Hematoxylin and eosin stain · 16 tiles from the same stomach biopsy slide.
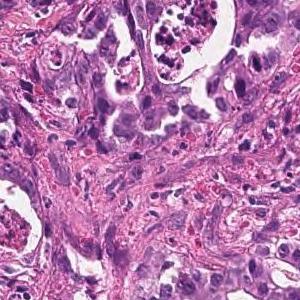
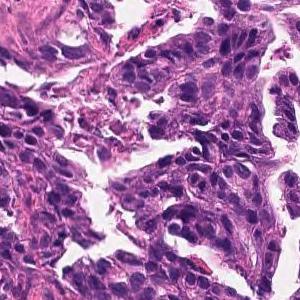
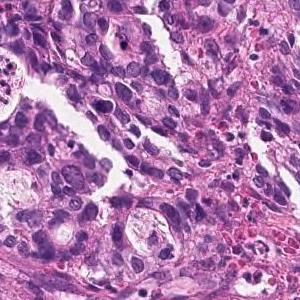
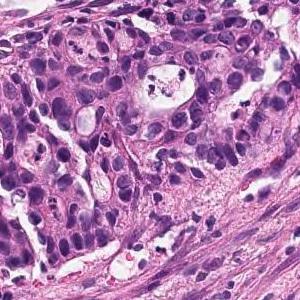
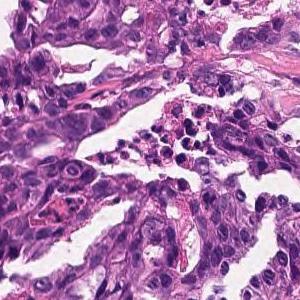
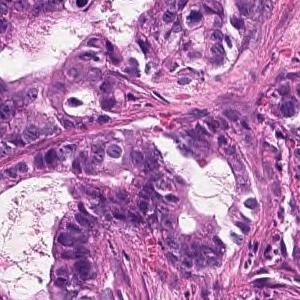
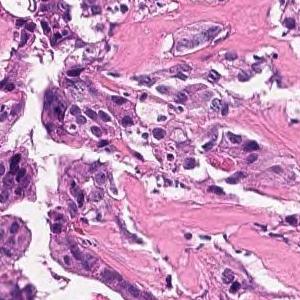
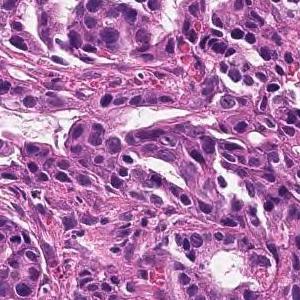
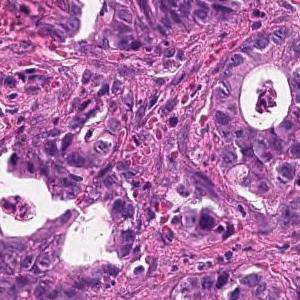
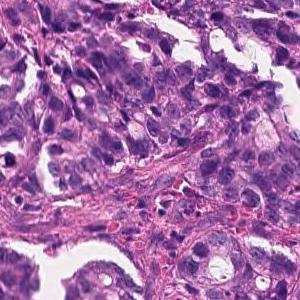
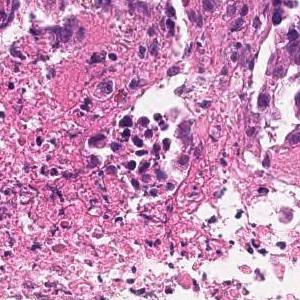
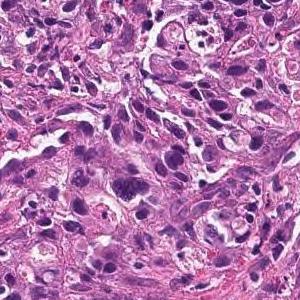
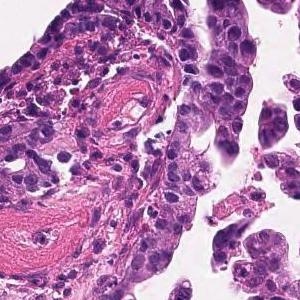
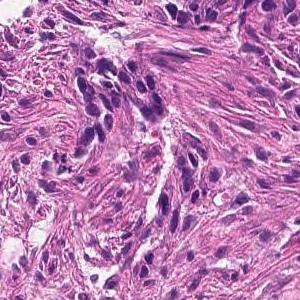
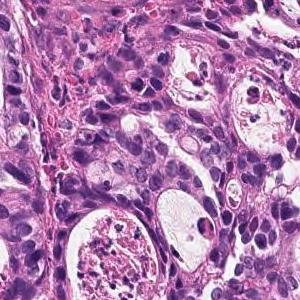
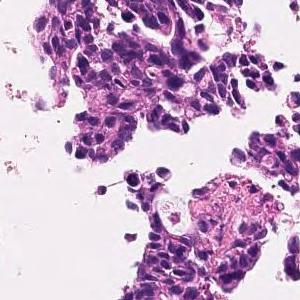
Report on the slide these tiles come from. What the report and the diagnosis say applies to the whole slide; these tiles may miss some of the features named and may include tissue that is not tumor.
On the superficial epithelium, tumor tissue consisting of images of small to medium-sized and irregular tubules infiltrating with irregular fusion is observed. moderately differentiated tubular adenocarcinoma
